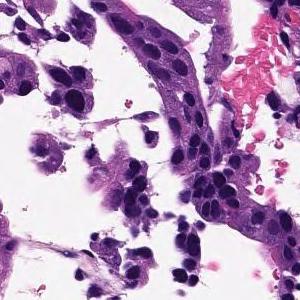
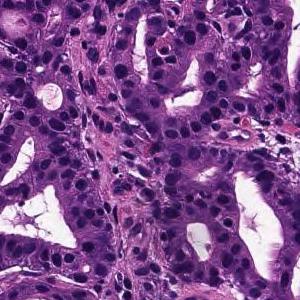
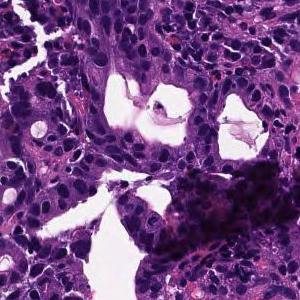
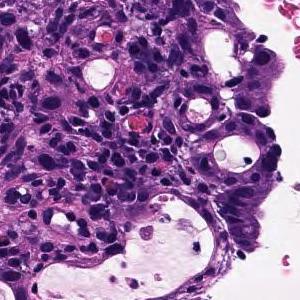
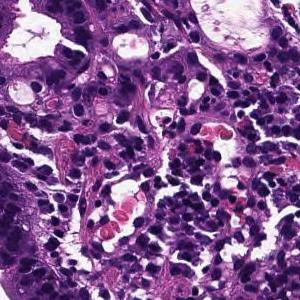
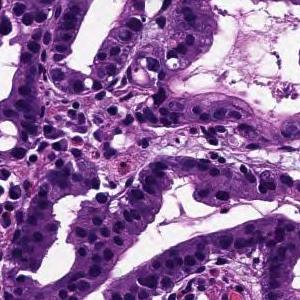
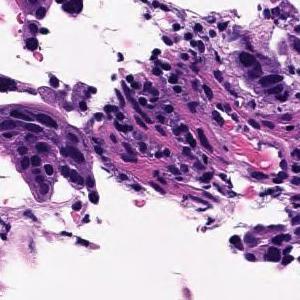
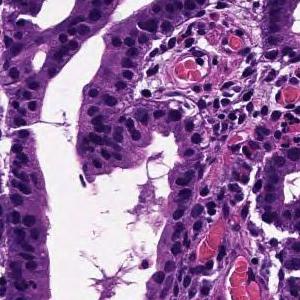
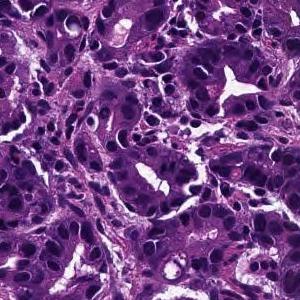
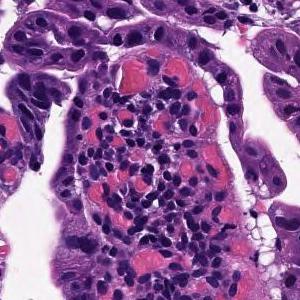
10 image tiles from a single gastric biopsy slide; ×20; hematoxylin and eosin stain.
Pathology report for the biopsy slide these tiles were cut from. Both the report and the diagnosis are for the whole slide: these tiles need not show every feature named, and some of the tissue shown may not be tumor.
From the superficial epithelium to the muscularis mucosae, tumor tissue consisting of medium-sized and irregular glandular ducts infiltrating is observed. Well differentiated tubular adenocarcinoma
